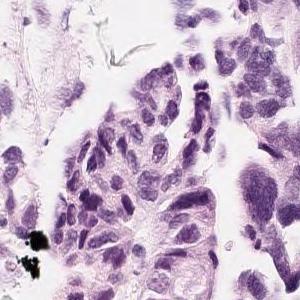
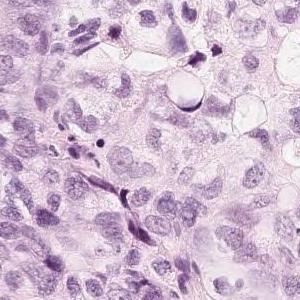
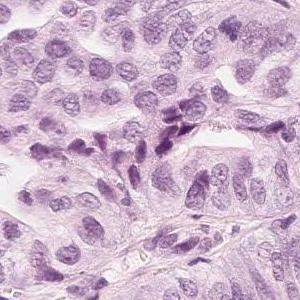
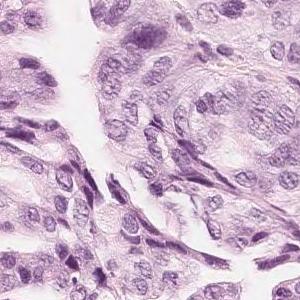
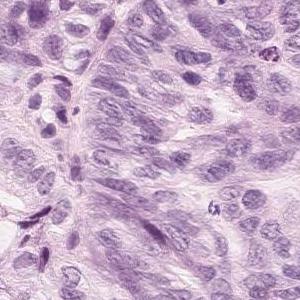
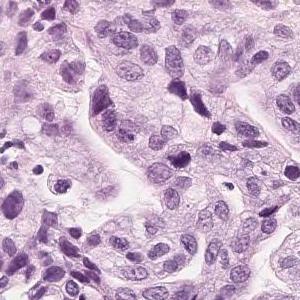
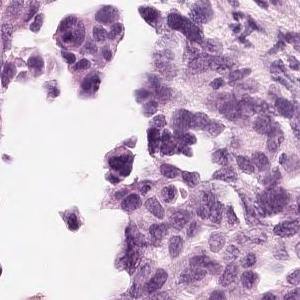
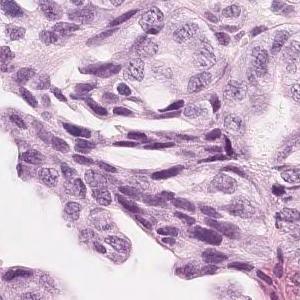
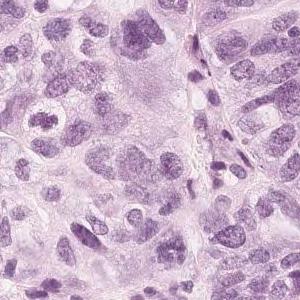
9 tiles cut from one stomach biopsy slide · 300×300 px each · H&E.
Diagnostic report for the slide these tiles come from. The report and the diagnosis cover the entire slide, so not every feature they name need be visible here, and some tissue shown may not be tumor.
Tumor tissue in which medium-sized atypical epithelial cells with a large N/C ratio grow densely while becoming alveolar to cord-like with duct formation is observed. moderately differentiated tubular adenocarcinoma
